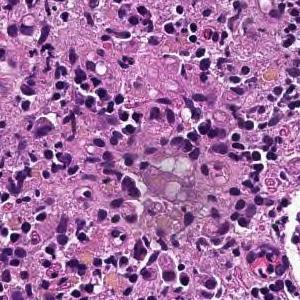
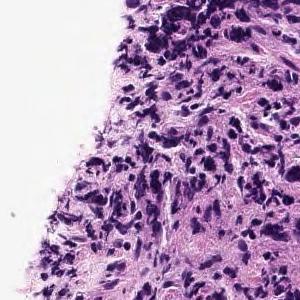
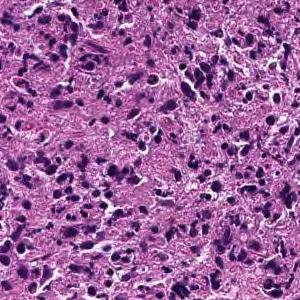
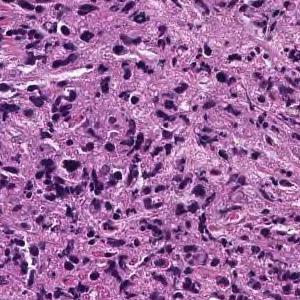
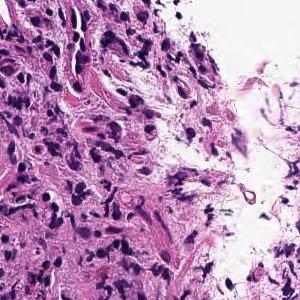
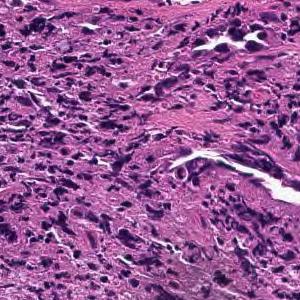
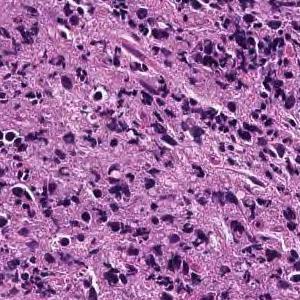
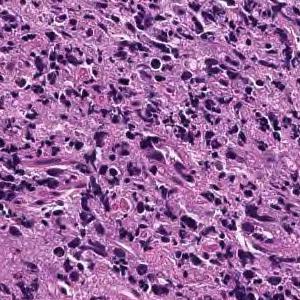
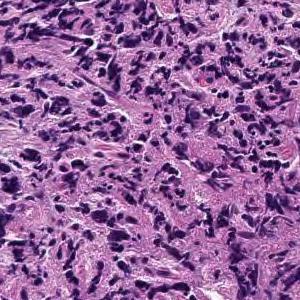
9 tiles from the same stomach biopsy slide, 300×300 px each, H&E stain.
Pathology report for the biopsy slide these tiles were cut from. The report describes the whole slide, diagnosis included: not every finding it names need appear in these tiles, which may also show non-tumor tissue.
Large sheet-like or diffusely infiltrating tumor tissue is found in the superficial epithelium. Poorly differentiated adenocarcinoma, solid-type
Histological subtype: Poorly differentiated adenocarcinoma, solid type (Japanese Classification of Gastric Carcinoma). The WHO 2019 equivalent is tubular adenocarcinoma, poorly differentiated.
